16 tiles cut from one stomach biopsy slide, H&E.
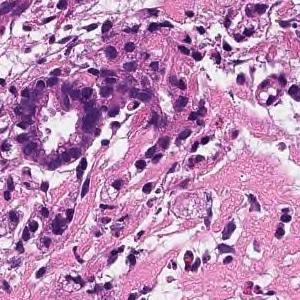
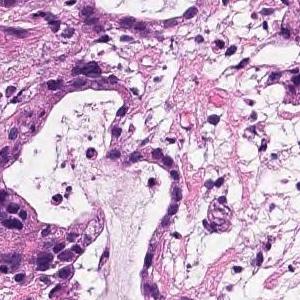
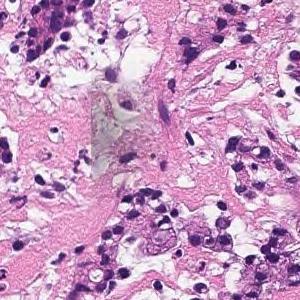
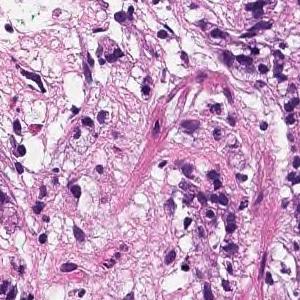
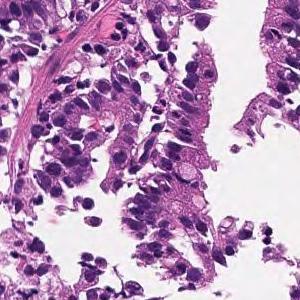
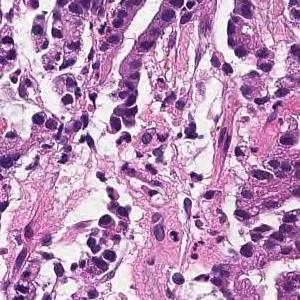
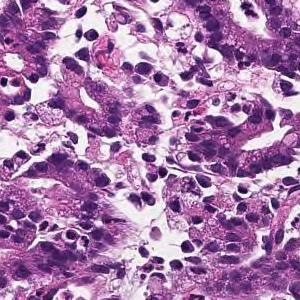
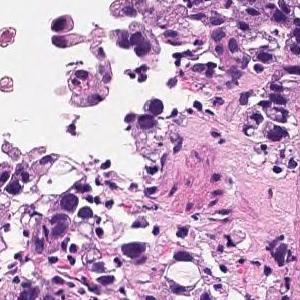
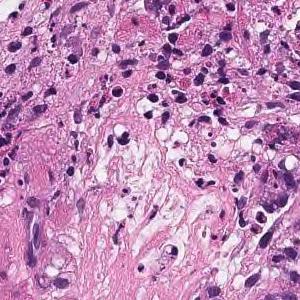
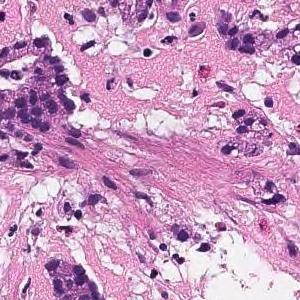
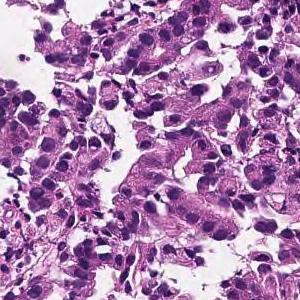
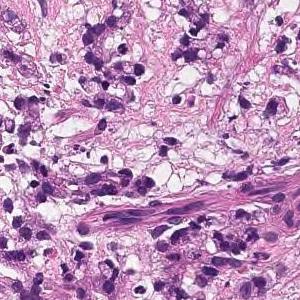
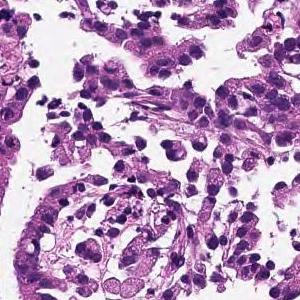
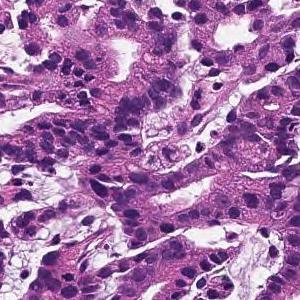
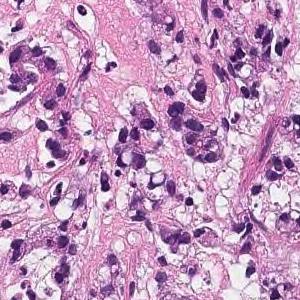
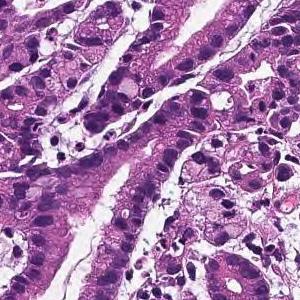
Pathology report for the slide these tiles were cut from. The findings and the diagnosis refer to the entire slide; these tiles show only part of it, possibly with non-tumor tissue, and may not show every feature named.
In the superficial epithelium, tumor tissue that invades by forming medium-sized to small, irregular ducts is observed. moderately differentiated tubular adenocarcinoma.
